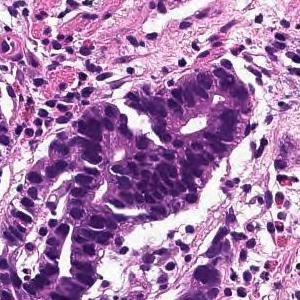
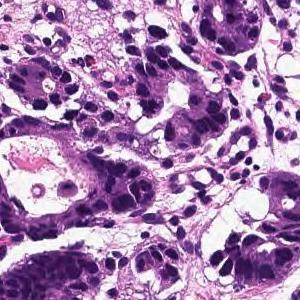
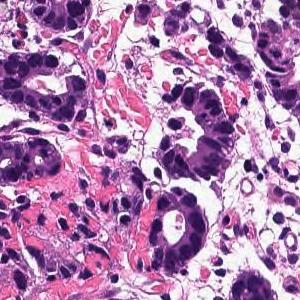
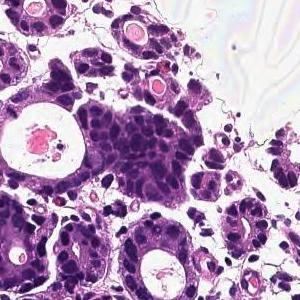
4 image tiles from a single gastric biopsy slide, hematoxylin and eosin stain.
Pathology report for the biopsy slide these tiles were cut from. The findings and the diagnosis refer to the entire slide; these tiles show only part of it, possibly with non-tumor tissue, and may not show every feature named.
In the superficial epithelium, tumor tissue that invades by forming medium-sized to small, irregular ducts is observed. moderately differentiated tubular adenocarcinoma.
